H&E · 8 tiles cut from one stomach biopsy slide.
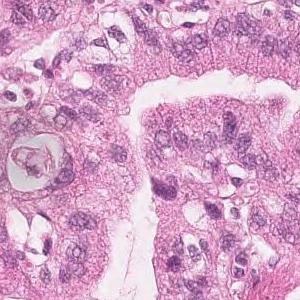
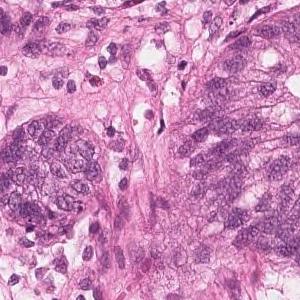
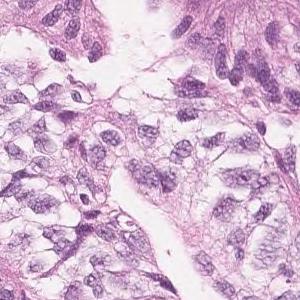
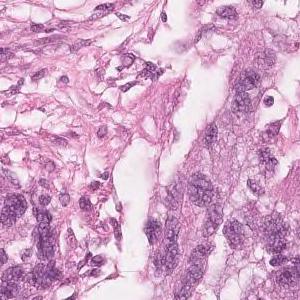
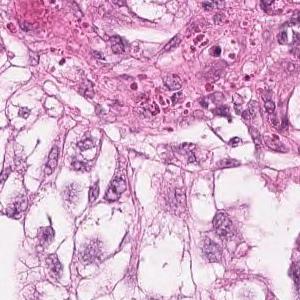
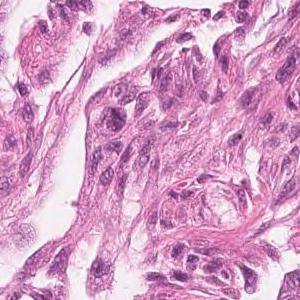
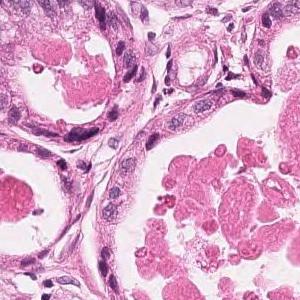
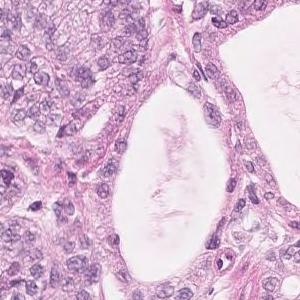
Report on the slide these tiles come from. The report describes the whole slide, diagnosis included: not every finding it names need appear in these tiles, which may also show non-tumor tissue.
Highly columnar epithelium with disordered nuclear localization proliferates showing fusion ductal construction. moderately differentiated tubular adenocarcinoma
